8 image tiles from a single gastric biopsy slide; 300 × 300 pixels each; H&E; ×20.
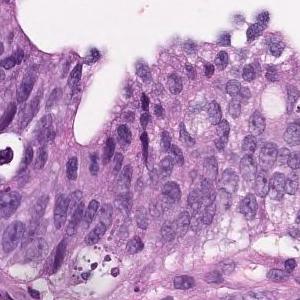
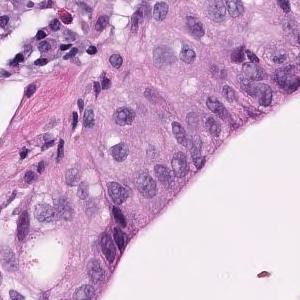
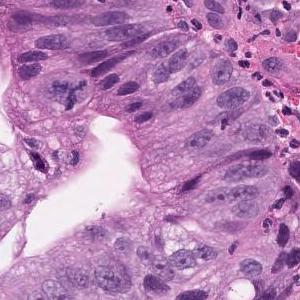
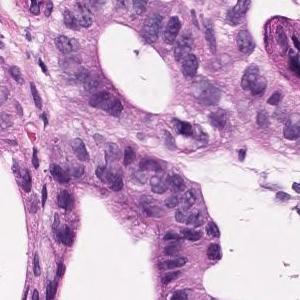
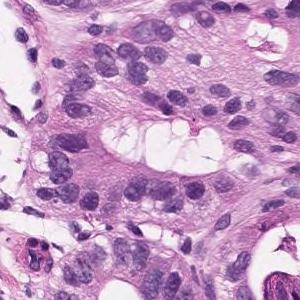
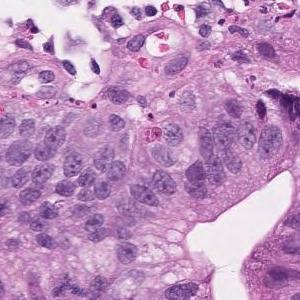
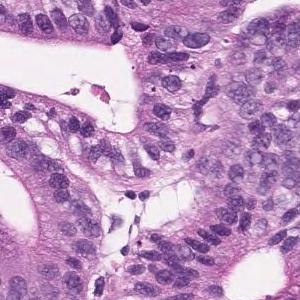
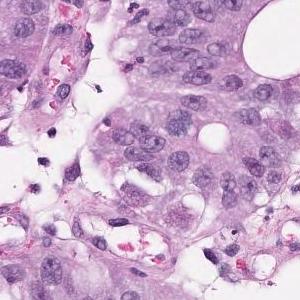
Pathology report for the slide these tiles were cut from. What the report and the diagnosis say applies to the whole slide; these tiles may miss some of the features named and may include tissue that is not tumor.
On the superficial epithelium, tumor tissue consisting of medium to small irregular tubules partially fused and proliferated is observed. Well differentiated tubular adenocarcinoma
